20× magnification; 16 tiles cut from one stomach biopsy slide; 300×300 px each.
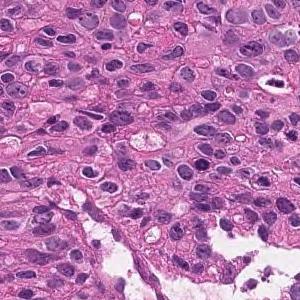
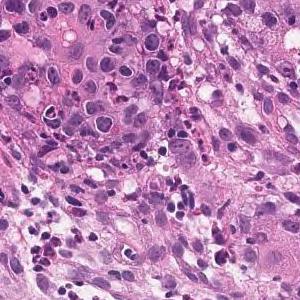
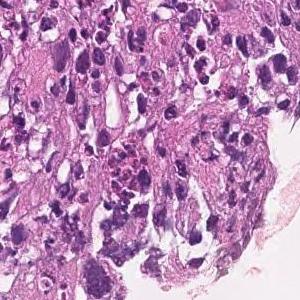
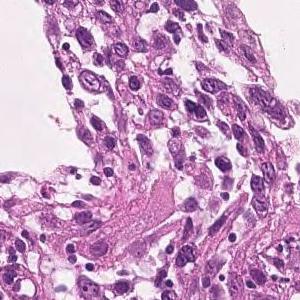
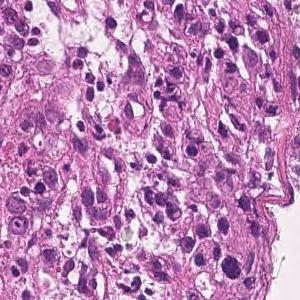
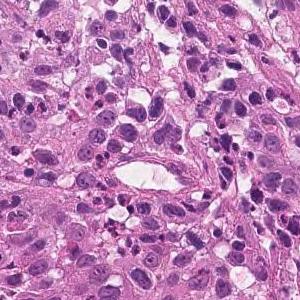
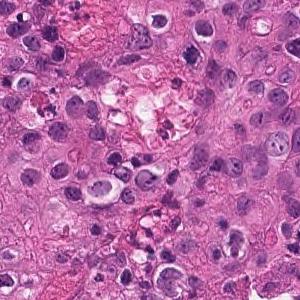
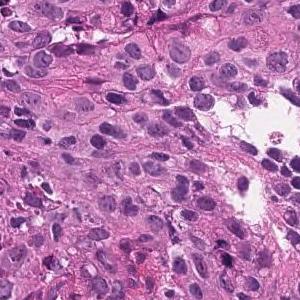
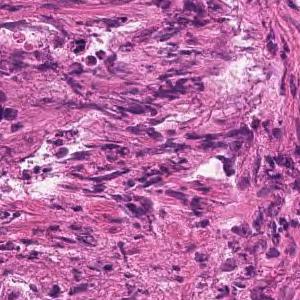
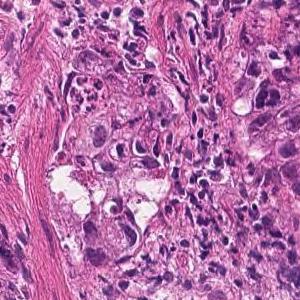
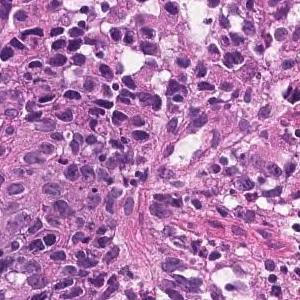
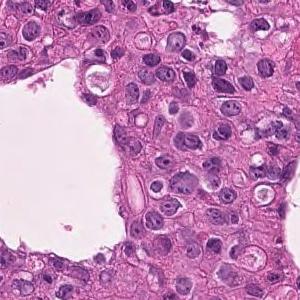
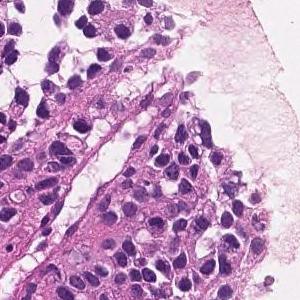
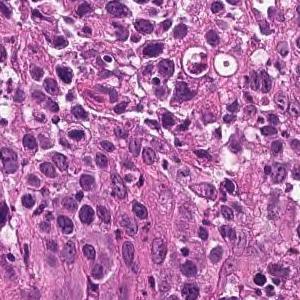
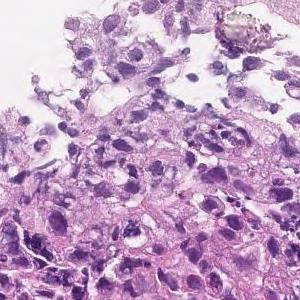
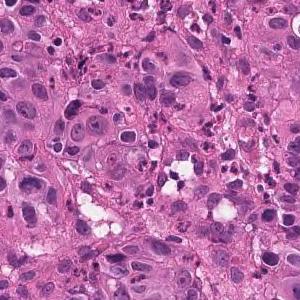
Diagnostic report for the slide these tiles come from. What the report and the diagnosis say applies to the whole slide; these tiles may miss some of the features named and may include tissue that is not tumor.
The superficial epithelium shows a large sheet-like shape, and some tumor tissue infiltrates with small irregular ducts. Poorly differentiated adenocarcinoma, solid-type
Tumor subtype: poorly differentiated adenocarcinoma, solid type, a category of the Japanese Classification of Gastric Carcinoma; in the WHO 2019 classification it is tubular adenocarcinoma, poorly differentiated.
